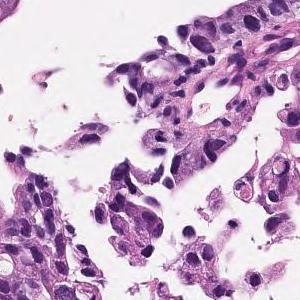
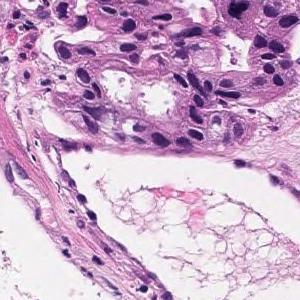
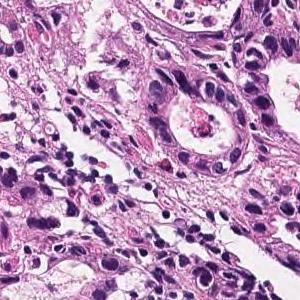
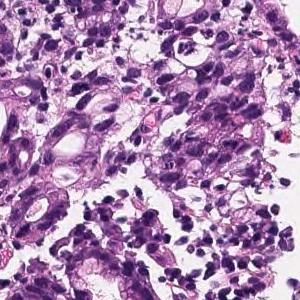
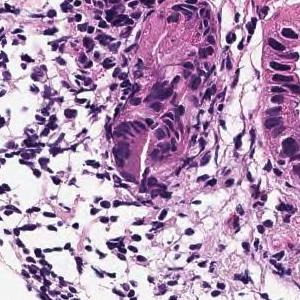
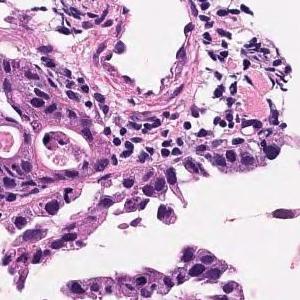
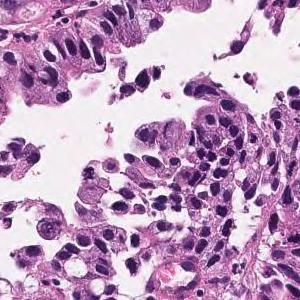
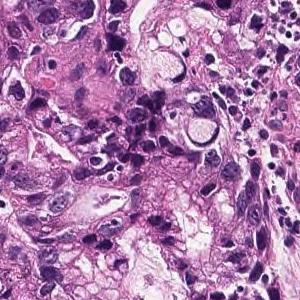
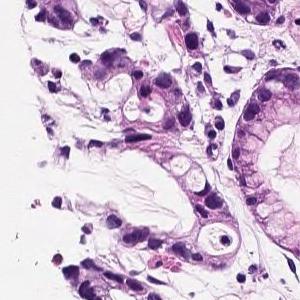
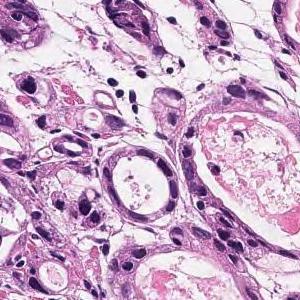
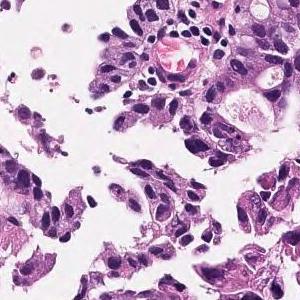
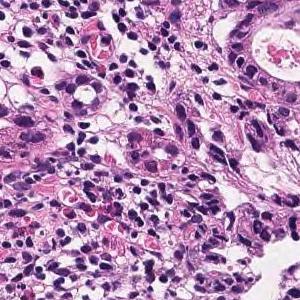
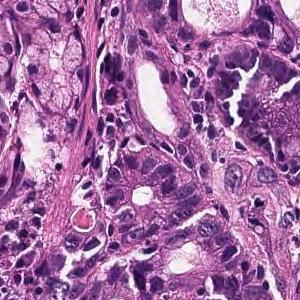
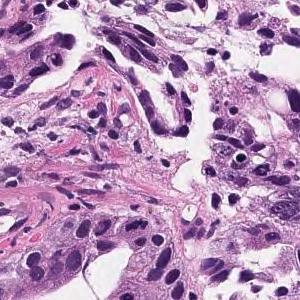
14 tiles cut from one stomach biopsy slide, 300×300 px each, ×20, hematoxylin and eosin stain.
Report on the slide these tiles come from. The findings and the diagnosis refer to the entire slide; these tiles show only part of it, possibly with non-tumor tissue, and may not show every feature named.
In the superficial epithelium, tumor tissue that invades by forming medium-sized to small, irregular ducts is observed. Moderately differentiated adenocarcinoma.
Classified as moderately differentiated tubular adenocarcinoma.
